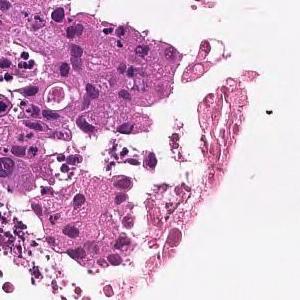
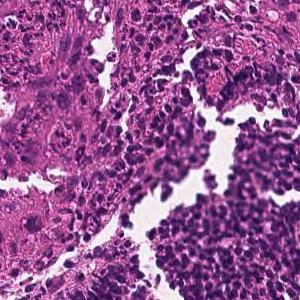
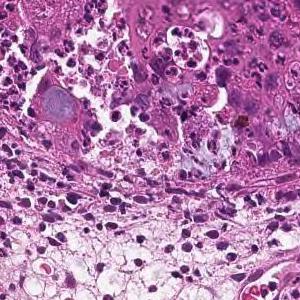
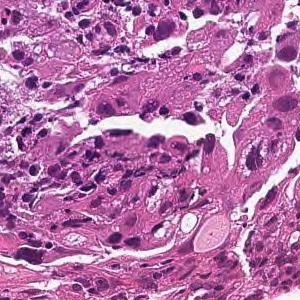
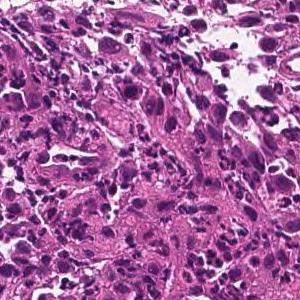
5 image tiles from a single gastric biopsy slide; each 300 × 300 pixels; H&E; scanned at ×20.
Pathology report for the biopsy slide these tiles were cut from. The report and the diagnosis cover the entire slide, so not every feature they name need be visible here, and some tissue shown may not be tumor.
The superficial epithelium shows a large sheet-like shape, and some tumor tissue infiltrates with small irregular ducts. Poorly differentiated adenocarcinoma, solid-type
Histological subtype: Poorly differentiated adenocarcinoma, solid type (Japanese Classification of Gastric Carcinoma). The WHO 2019 equivalent is tubular adenocarcinoma, poorly differentiated.
